Scanned at ×20; 12 tiles from the same stomach biopsy slide; each 300 × 300 pixels.
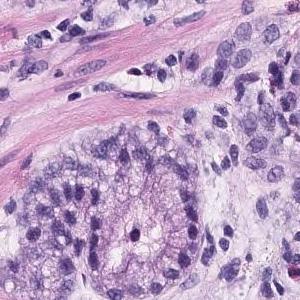
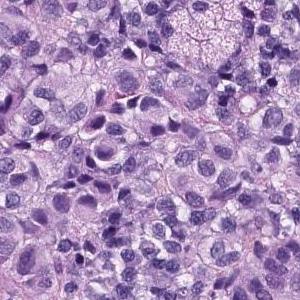
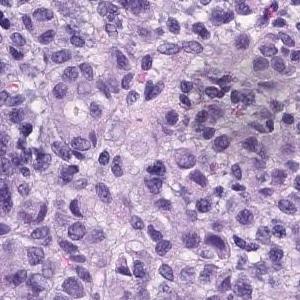
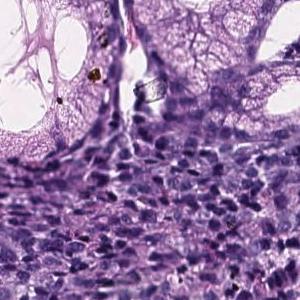
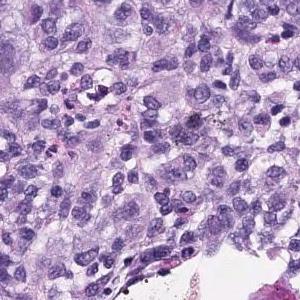
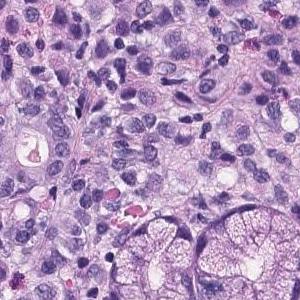
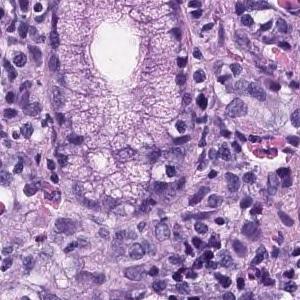
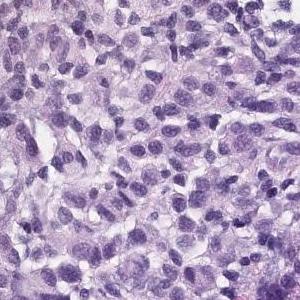
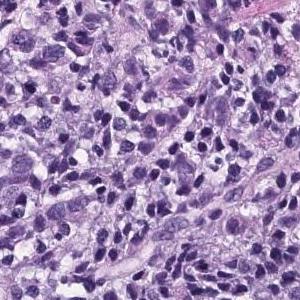
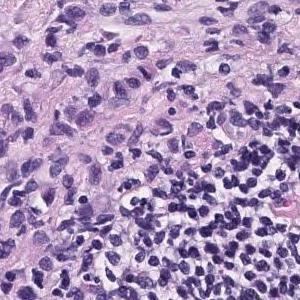
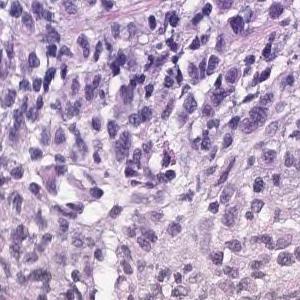
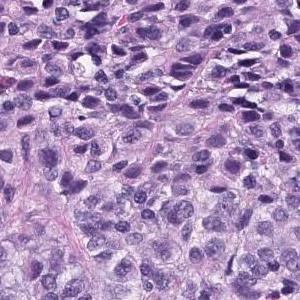
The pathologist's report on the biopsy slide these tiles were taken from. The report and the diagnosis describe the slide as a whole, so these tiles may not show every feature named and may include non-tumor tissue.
There are medium-sized atypical cells with marked nuclear swelling and increased N/C ratio, which grow into solid or isolated scattered cells. Poorly differentiated adenocarcinoma
Histologic type: Poorly differentiated adenocarcinoma, solid type (Japanese Classification of Gastric Carcinoma). The WHO 2019 equivalent is tubular adenocarcinoma, poorly differentiated.
